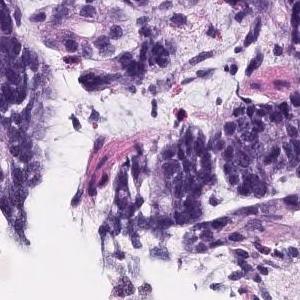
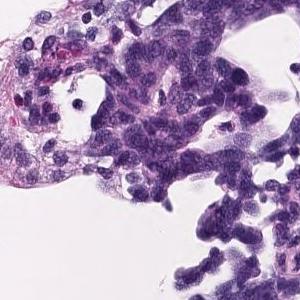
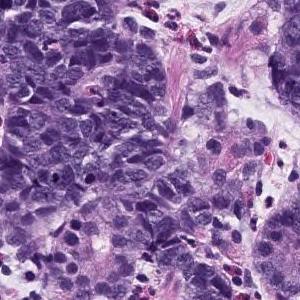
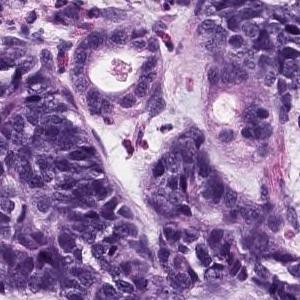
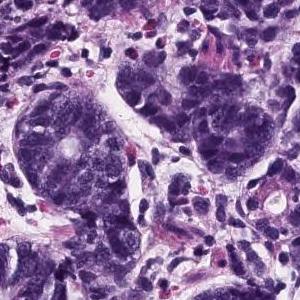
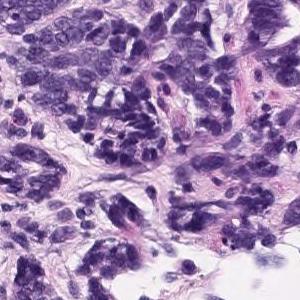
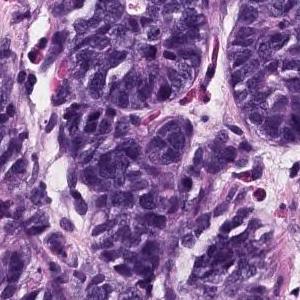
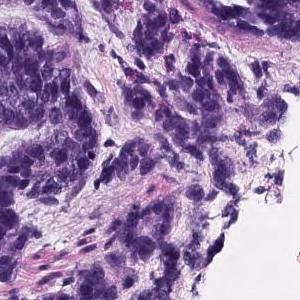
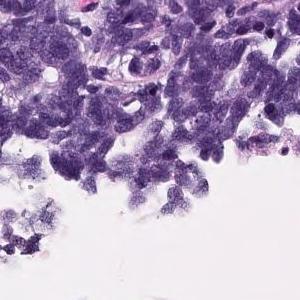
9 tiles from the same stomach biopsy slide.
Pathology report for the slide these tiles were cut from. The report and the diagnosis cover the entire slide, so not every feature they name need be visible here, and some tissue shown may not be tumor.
Group 5, Adenocarcinoma. Moderately to poorly differentiated adenocarcinoma
